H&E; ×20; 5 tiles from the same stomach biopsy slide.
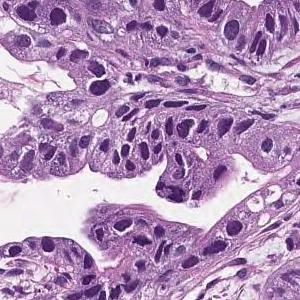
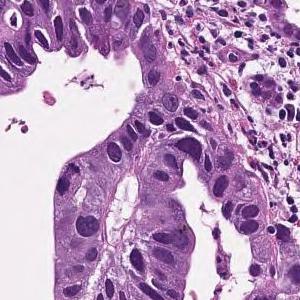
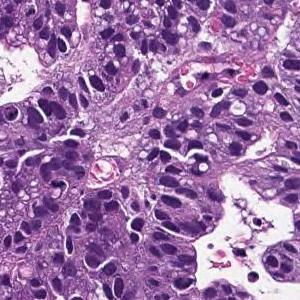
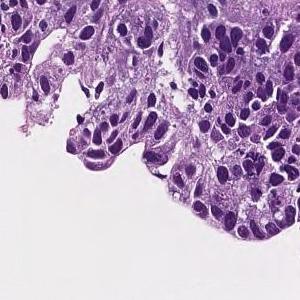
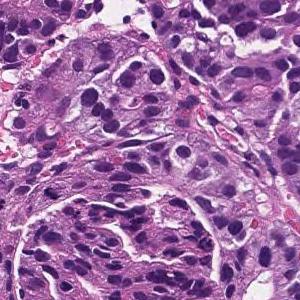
The pathologist's report on the biopsy slide these tiles were taken from. What the report and the diagnosis say applies to the whole slide; these tiles may miss some of the features named and may include tissue that is not tumor.
On the superficial epithelium, tumor tissue consisting of large, irregular glandular ducts partially fused and infiltrated is observed. Well to moderately differentiated tubular adenocarcinoma (well differentiated tubular adenocarcinoma, moderately differentiated tubular adenocarcinoma)
Histologic type: Well to moderately differentiated tubular adenocarcinoma.
